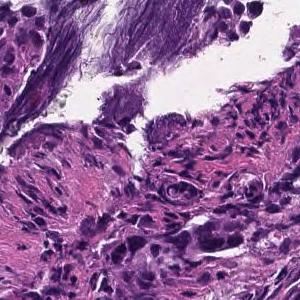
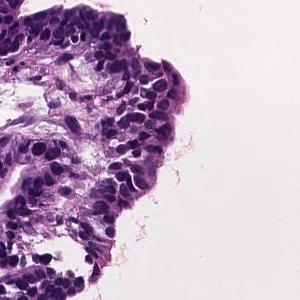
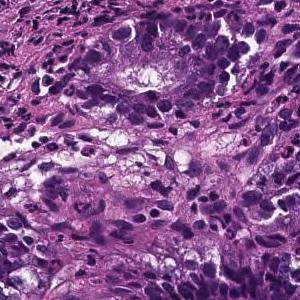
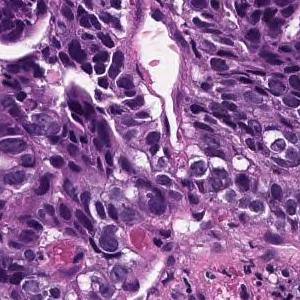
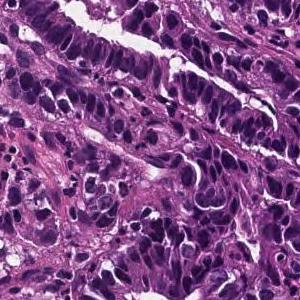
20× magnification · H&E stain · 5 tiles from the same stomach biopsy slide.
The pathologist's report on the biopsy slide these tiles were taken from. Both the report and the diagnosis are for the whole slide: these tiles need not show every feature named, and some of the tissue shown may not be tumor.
Tumor cells are large, highly columnar, large club-shaped nuclei, and are associated with chromatin aggregation. Papillary adenocarcinoma.
